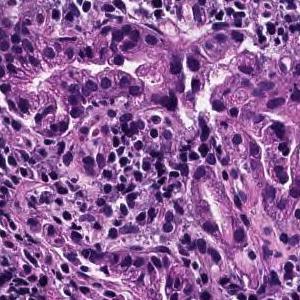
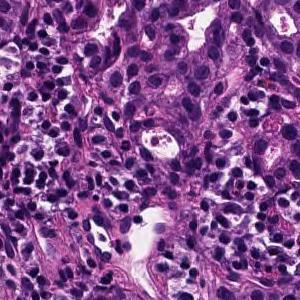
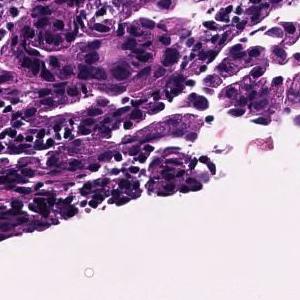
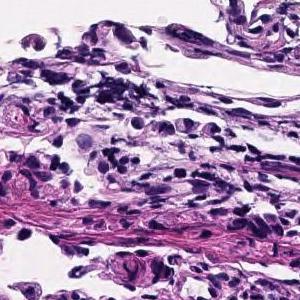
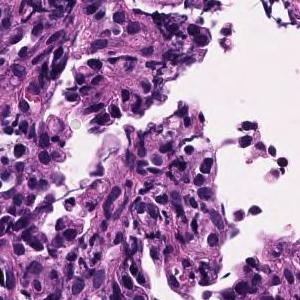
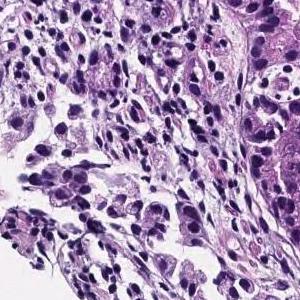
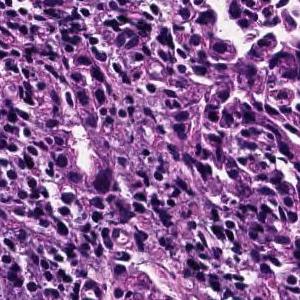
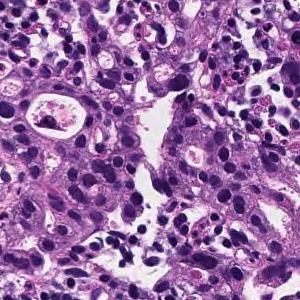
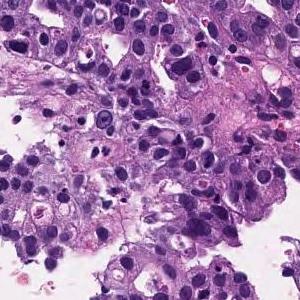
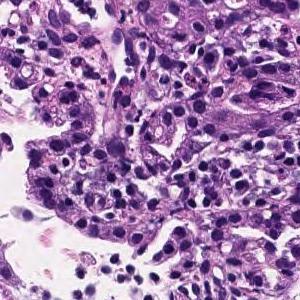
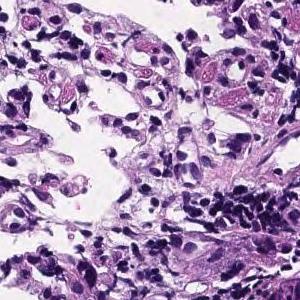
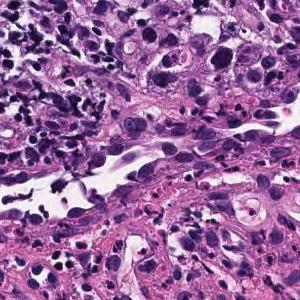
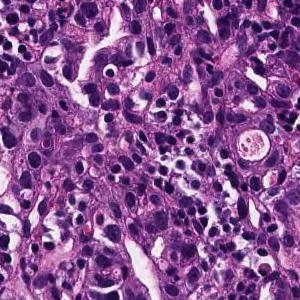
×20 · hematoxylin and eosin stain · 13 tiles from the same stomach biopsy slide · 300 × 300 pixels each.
Diagnostic report for the slide these tiles come from. The findings and the diagnosis refer to the entire slide; these tiles show only part of it, possibly with non-tumor tissue, and may not show every feature named.
Medium to small, irregular glandular ducts are formed in the superficial epithelium, and in some cases, the glandular ducts are fused to show solid alveolar lesions and infiltrating tumor tissue is observed. Moderately to poorly differentiated adenocarcinoma.
